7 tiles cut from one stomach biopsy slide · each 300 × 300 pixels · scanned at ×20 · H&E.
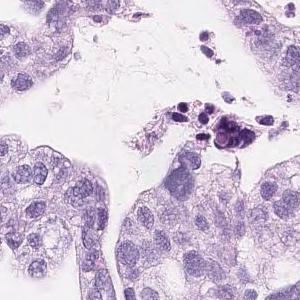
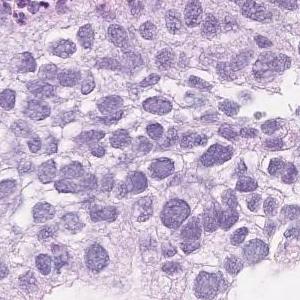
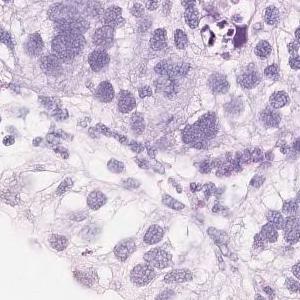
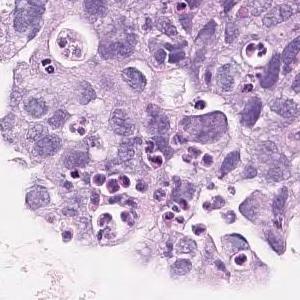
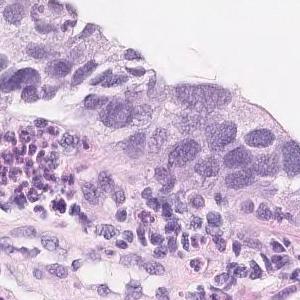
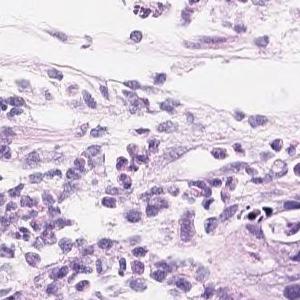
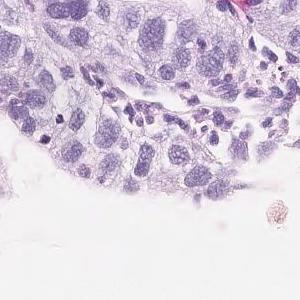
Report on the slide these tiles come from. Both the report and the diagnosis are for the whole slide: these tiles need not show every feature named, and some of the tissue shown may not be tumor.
On the superficial epithelium, tumor tissue consisting of large, irregular glandular ducts partially fused and infiltrated is observed. Well to moderately differentiated tubular adenocarcinoma (well differentiated tubular adenocarcinoma, moderately differentiated tubular adenocarcinoma)
Subtype: Well to moderately differentiated tubular adenocarcinoma.
